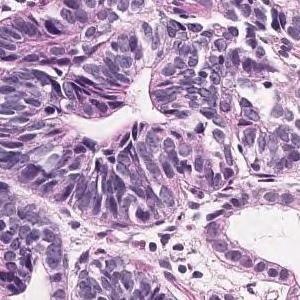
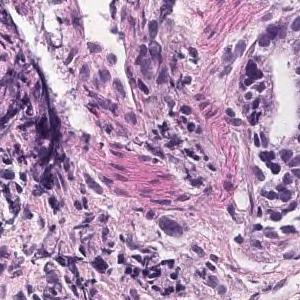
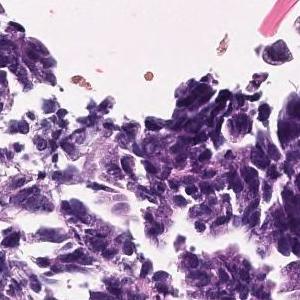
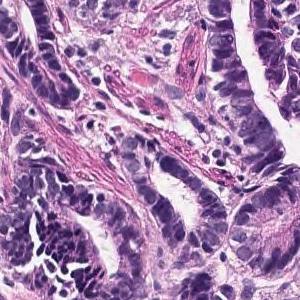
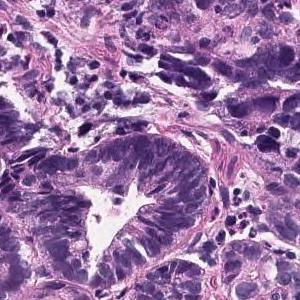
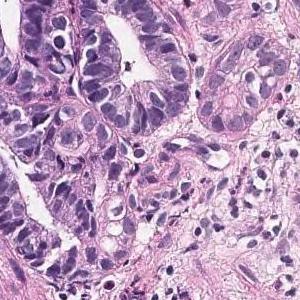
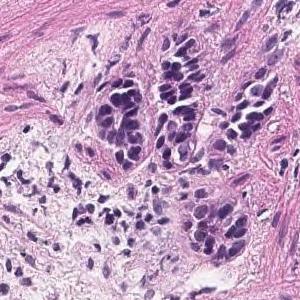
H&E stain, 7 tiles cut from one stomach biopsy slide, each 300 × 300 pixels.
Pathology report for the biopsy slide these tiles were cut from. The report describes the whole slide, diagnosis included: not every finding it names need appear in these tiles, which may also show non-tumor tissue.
In the superficial epithelium, tumor tissue that invades by forming medium-sized to small, irregular ducts is observed. Well differentiated tubular adenocarcinoma.
